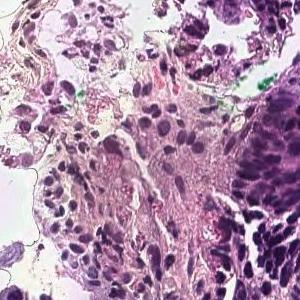
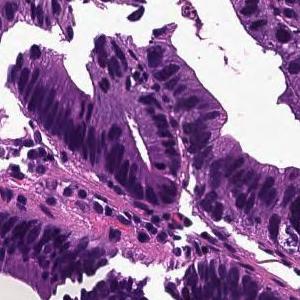
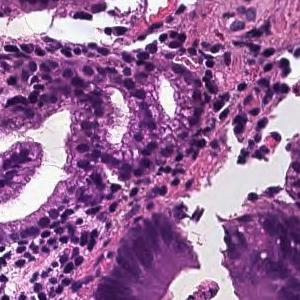
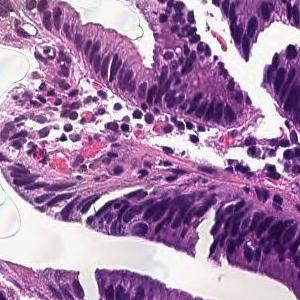
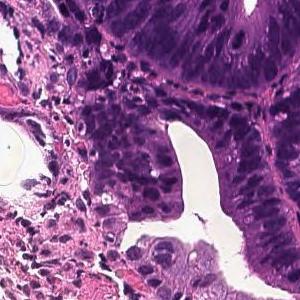
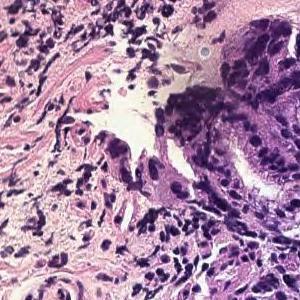
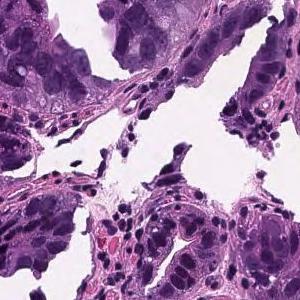
7 tiles cut from one stomach biopsy slide · each 300 × 300 pixels.
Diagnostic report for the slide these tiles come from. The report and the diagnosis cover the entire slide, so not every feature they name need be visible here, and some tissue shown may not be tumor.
In the superficial epithelium, tumor tissue that invades by forming medium-sized to small, irregular ducts is observed. moderately differentiated tubular adenocarcinoma.
